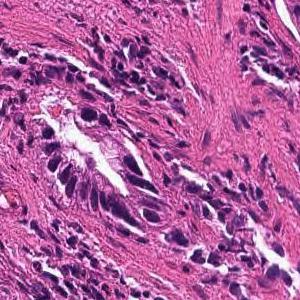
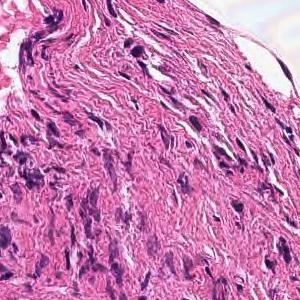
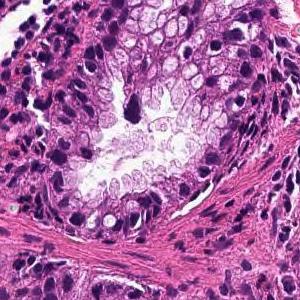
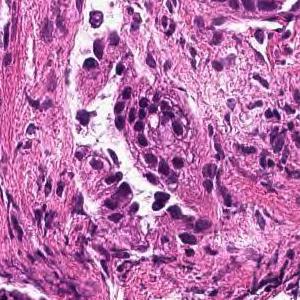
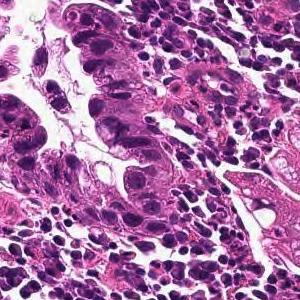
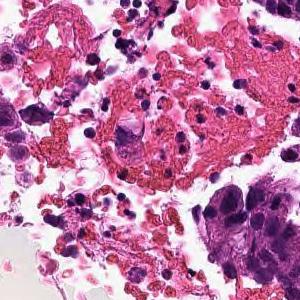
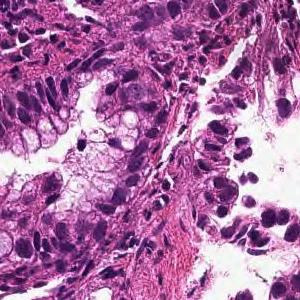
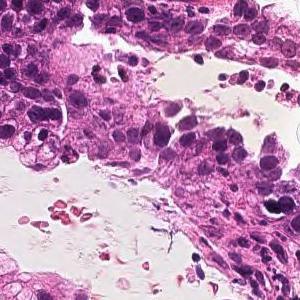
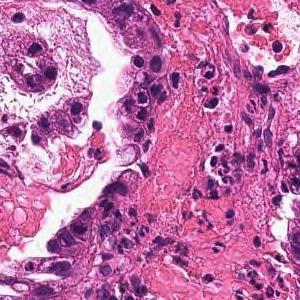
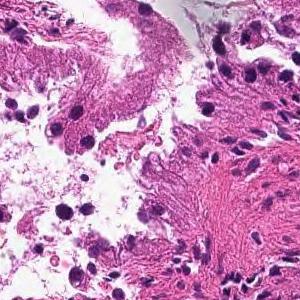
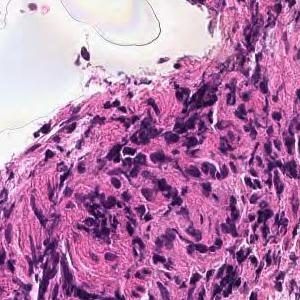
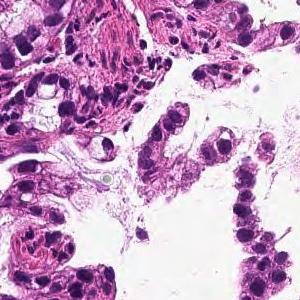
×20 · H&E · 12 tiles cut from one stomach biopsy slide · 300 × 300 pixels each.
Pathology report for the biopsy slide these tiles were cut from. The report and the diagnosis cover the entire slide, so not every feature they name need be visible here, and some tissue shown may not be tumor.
From the superficial epithelium to the muscularis mucosae, tumor tissue infiltrating by forming medium-sized irregular gland ducts is observed. Well differentiated tubular adenocarcinoma
